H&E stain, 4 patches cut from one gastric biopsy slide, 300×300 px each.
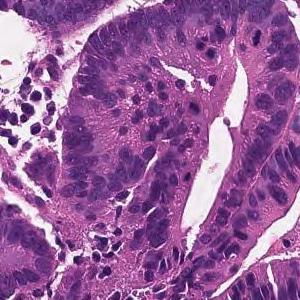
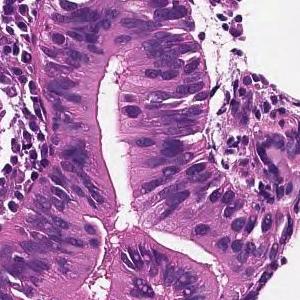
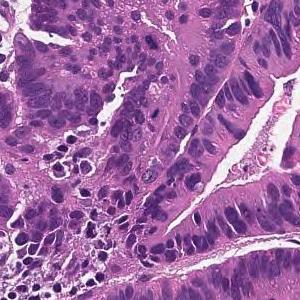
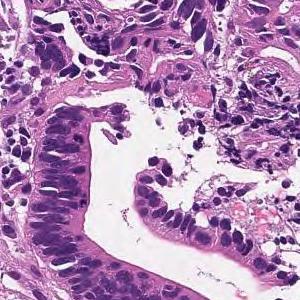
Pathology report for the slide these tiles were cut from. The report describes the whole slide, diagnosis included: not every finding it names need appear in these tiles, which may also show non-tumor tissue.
From the superficial epithelium to the muscularis mucosae, tumor tissue consisting of medium-sized and irregular glandular ducts infiltrating is observed. Well differentiated tubular adenocarcinoma
